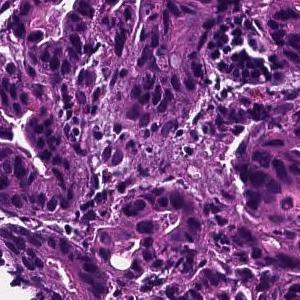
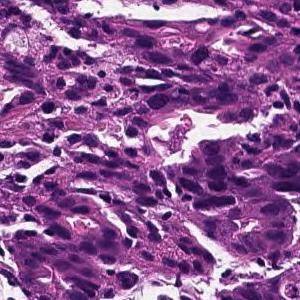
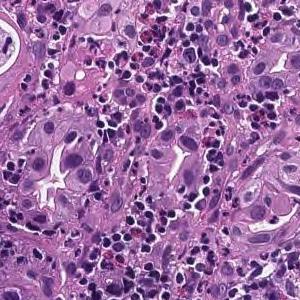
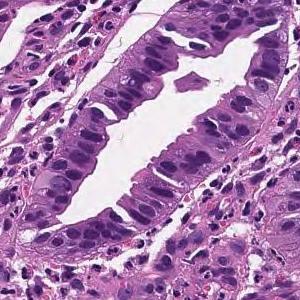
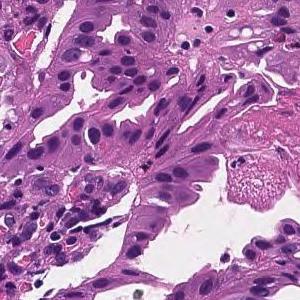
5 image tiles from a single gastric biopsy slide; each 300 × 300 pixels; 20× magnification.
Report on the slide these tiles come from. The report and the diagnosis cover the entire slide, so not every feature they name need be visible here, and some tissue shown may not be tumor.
In the superficial epithelium, tumor tissue that invades by forming medium-sized to small, irregular ducts is observed. moderately differentiated tubular adenocarcinoma.
